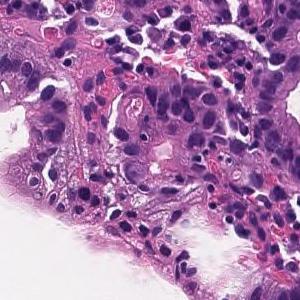
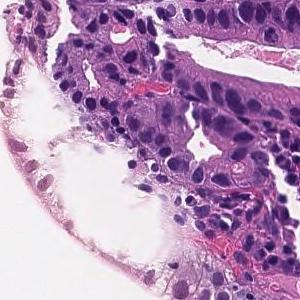
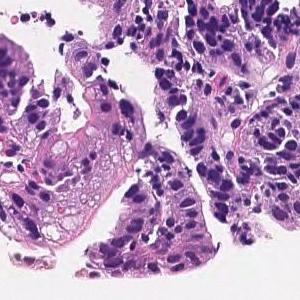
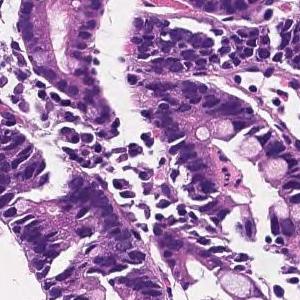
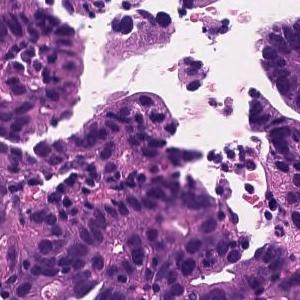
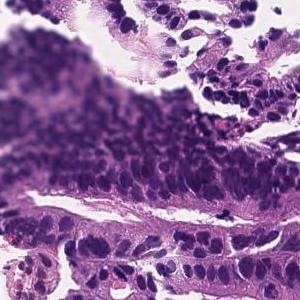
×20 · H&E · 6 tiles from the same stomach biopsy slide · 300×300 px each.
Report on the slide these tiles come from. The report and the diagnosis describe the slide as a whole, so these tiles may not show every feature named and may include non-tumor tissue.
From the superficial epithelium to the muscularis mucosae, tumor tissue consisting of medium-sized and irregular glandular ducts infiltrating is observed. Well differentiated tubular adenocarcinoma
